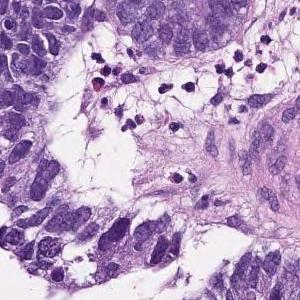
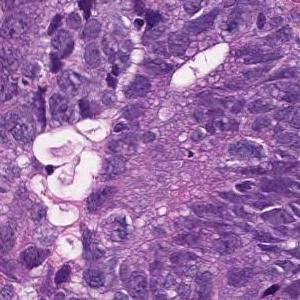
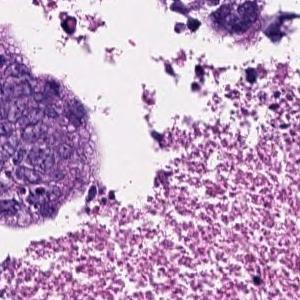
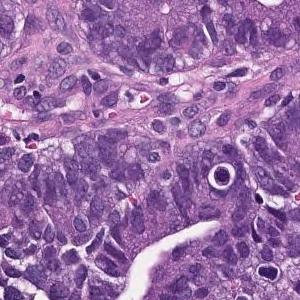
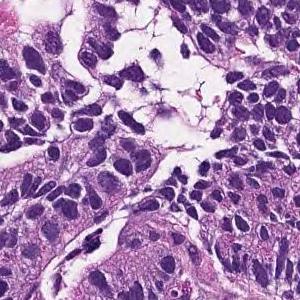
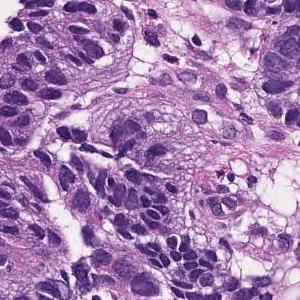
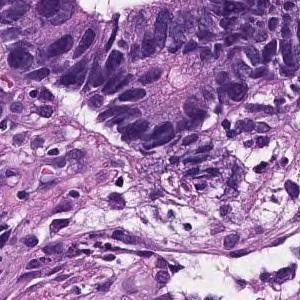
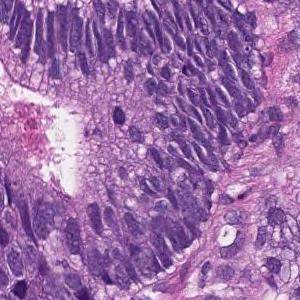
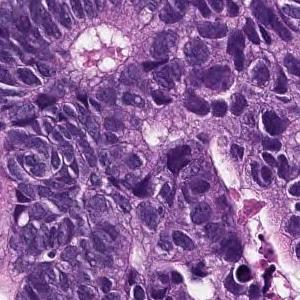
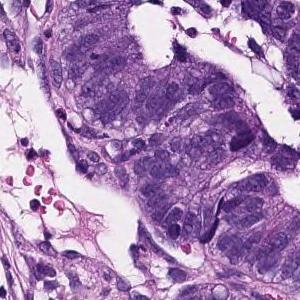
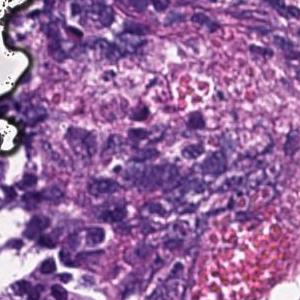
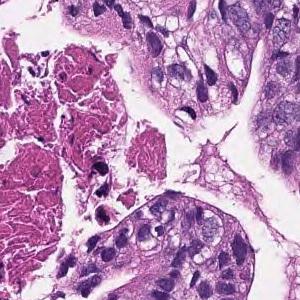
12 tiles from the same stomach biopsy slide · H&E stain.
Diagnostic report for the slide these tiles come from. What the report and the diagnosis say applies to the whole slide; these tiles may miss some of the features named and may include tissue that is not tumor.
In the superficial epithelium, tumor tissue that invades by forming medium-sized to small, irregular ducts is observed. moderately differentiated tubular adenocarcinoma.
